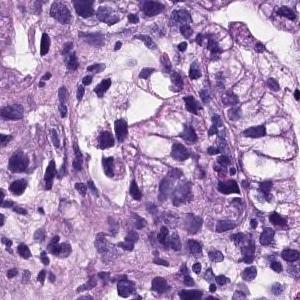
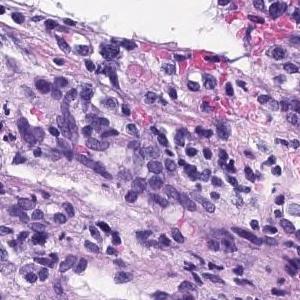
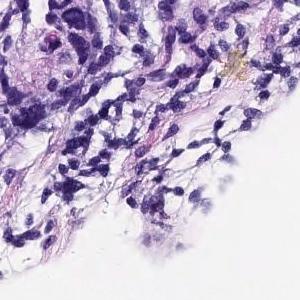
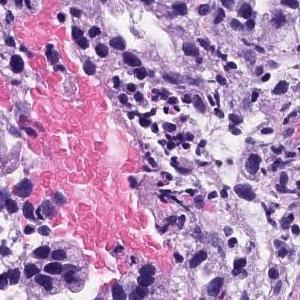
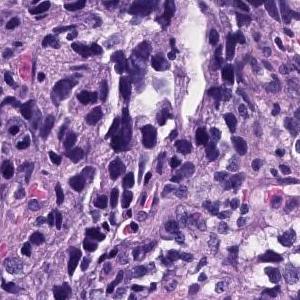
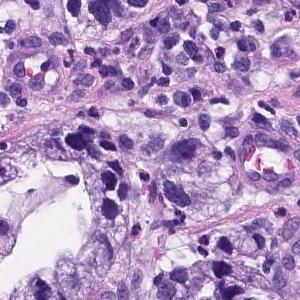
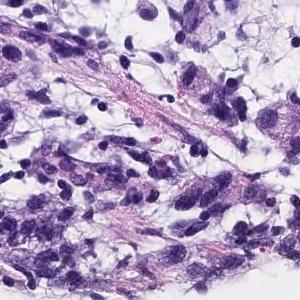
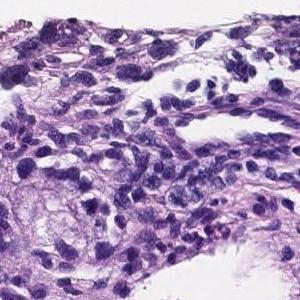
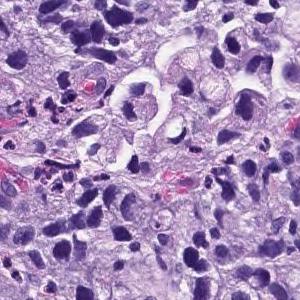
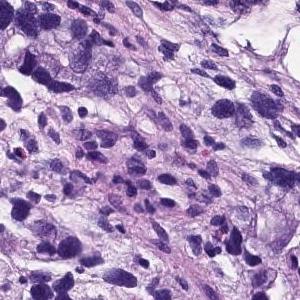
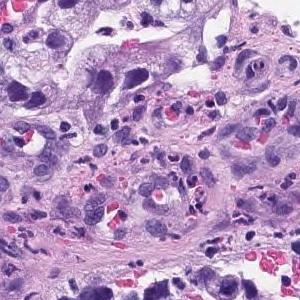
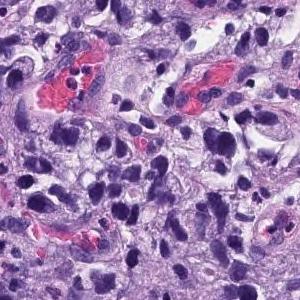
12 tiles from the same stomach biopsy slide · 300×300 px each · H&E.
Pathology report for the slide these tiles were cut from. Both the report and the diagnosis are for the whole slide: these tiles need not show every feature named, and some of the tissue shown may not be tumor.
Medium to small, irregular glandular ducts are formed in the superficial epithelium, and in some cases, the glandular ducts are fused to show solid alveolar lesions and infiltrating tumor tissue is observed. Poorly differentiated adenocarcinoma, Moderately differentiated adenocarcinoma.
Labeled in the dataset as moderately differentiated tubular adenocarcinoma.
